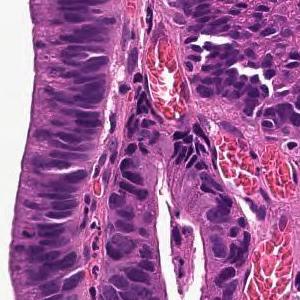
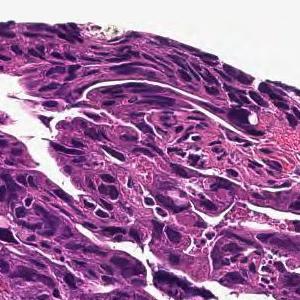
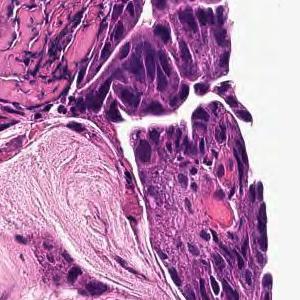
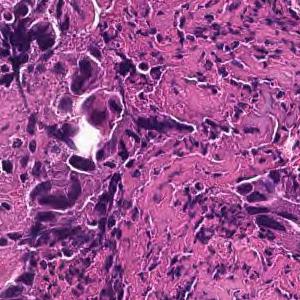
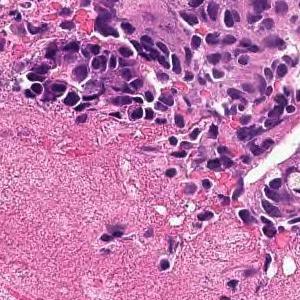
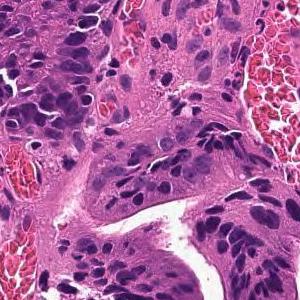
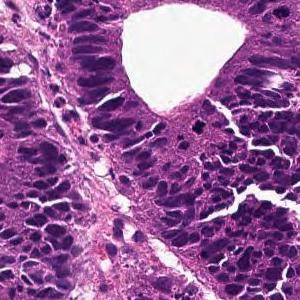
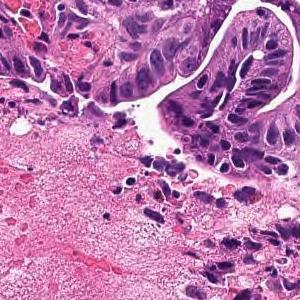
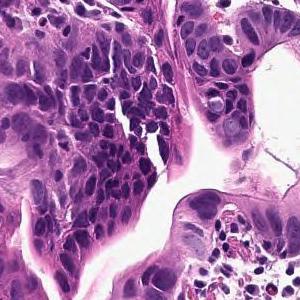
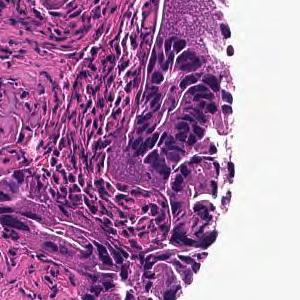
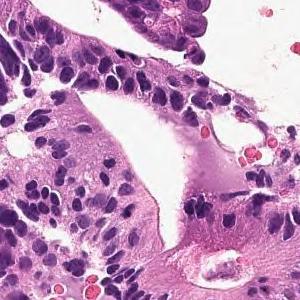
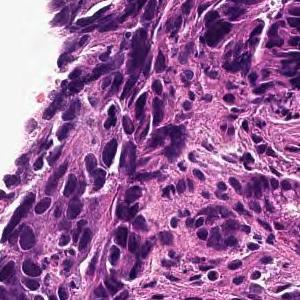
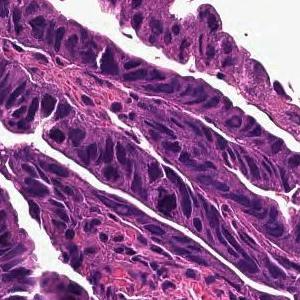
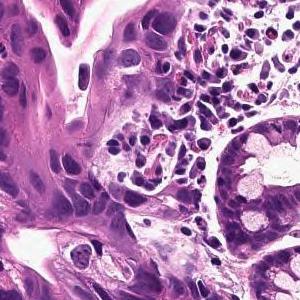
14 patches cut from one gastric biopsy slide; 300 × 300 pixels each; H&E stain; ×20.
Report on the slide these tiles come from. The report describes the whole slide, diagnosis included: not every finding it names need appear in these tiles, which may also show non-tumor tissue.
From the superficial epithelium to the muscularis mucosae, tumor tissue consisting of medium-sized and irregular glandular ducts infiltrating is observed. Well differentiated tubular adenocarcinoma
